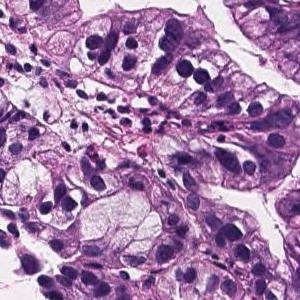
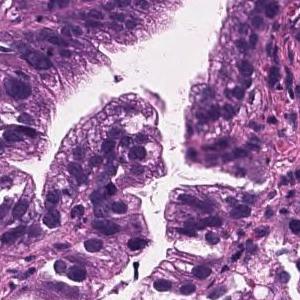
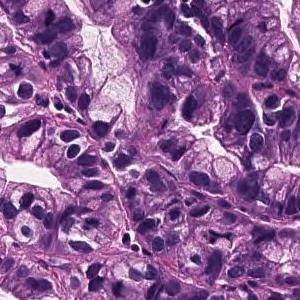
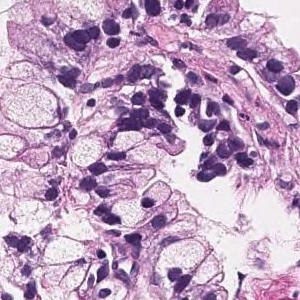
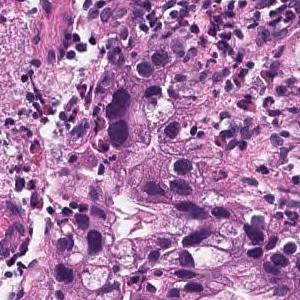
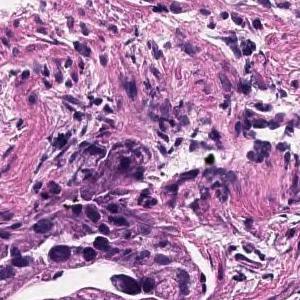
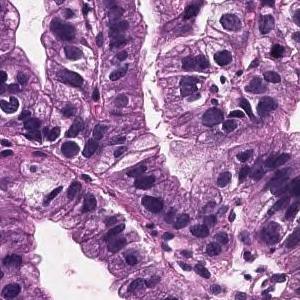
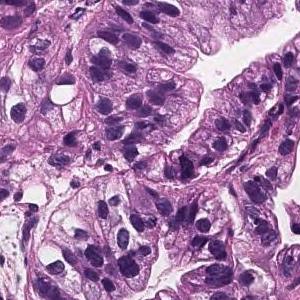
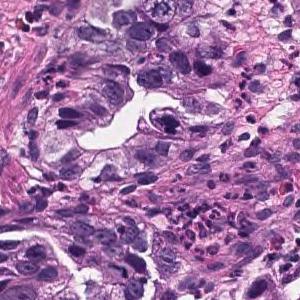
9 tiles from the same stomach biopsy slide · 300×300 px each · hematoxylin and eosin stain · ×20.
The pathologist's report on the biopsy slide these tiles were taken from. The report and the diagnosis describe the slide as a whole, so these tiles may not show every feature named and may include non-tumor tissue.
Tumor cells are large, highly columnar, large club-shaped nuclei, and are associated with chromatin aggregation. Papillary adenocarcinoma.
